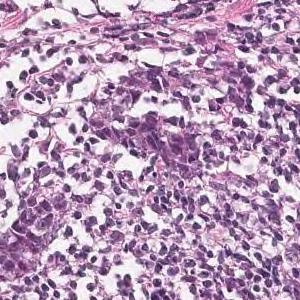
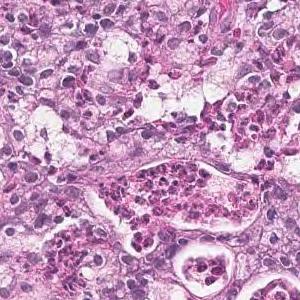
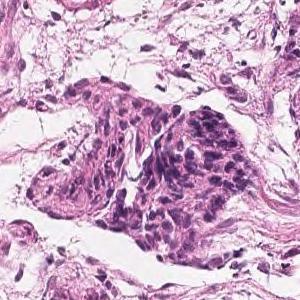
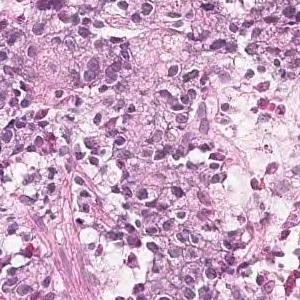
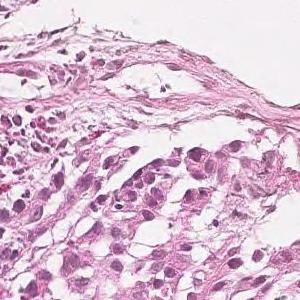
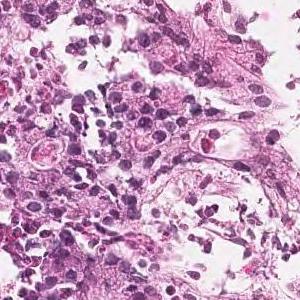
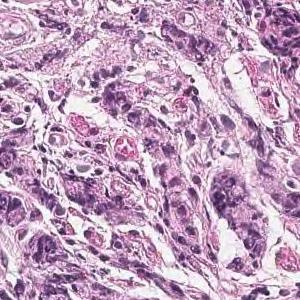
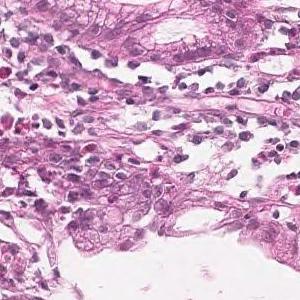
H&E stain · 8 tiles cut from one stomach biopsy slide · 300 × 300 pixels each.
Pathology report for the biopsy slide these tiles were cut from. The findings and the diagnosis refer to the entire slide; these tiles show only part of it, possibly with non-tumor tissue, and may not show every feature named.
Tumor tissue consisting of medium-sized, cord-like or irregular glandular infiltration is observed in the superficial epithelium. Poorly differentiated adenocarcinoma, non-solid type or moderately differentiated tubular adenocarcinoma
"Non-solid type" is a category of the Japanese Classification of Gastric Carcinoma.
